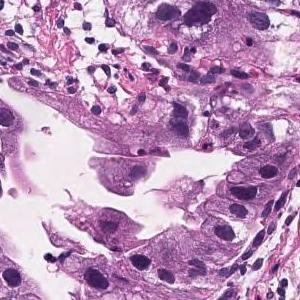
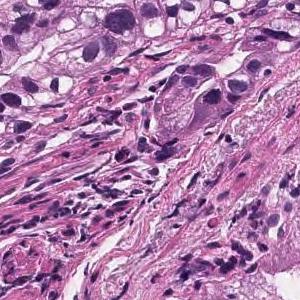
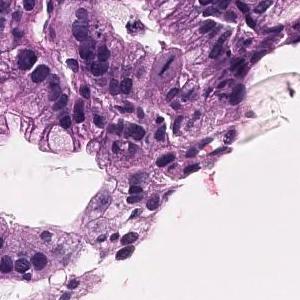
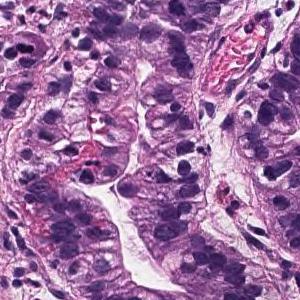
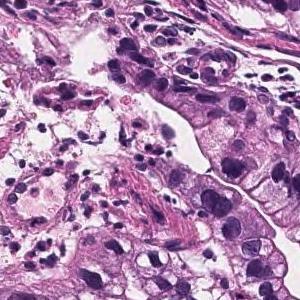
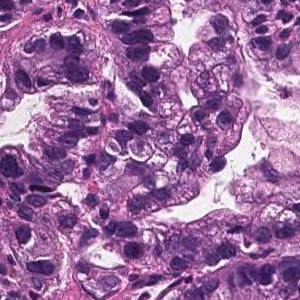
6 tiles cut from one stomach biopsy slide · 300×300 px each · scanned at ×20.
Report on the slide these tiles come from. The report and the diagnosis cover the entire slide, so not every feature they name need be visible here, and some tissue shown may not be tumor.
Tumor cells are large, highly columnar, large club-shaped nuclei, and are associated with chromatin aggregation. Papillary adenocarcinoma.
